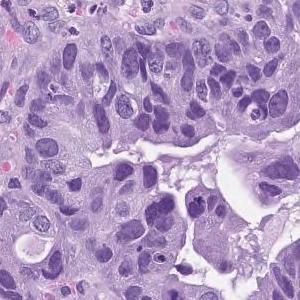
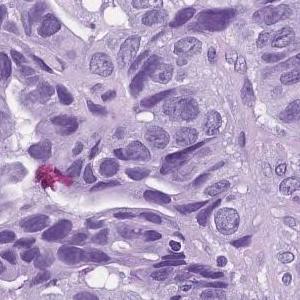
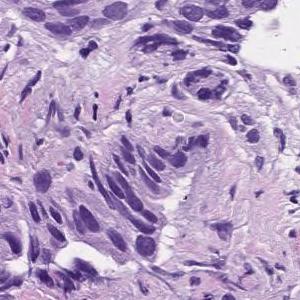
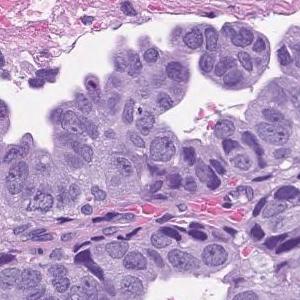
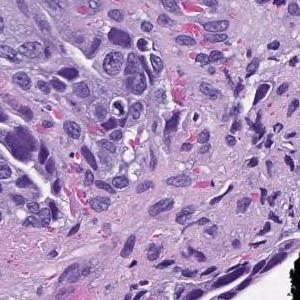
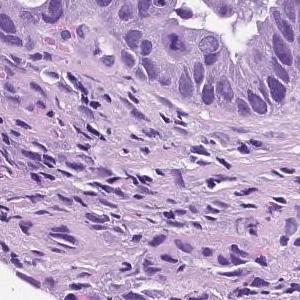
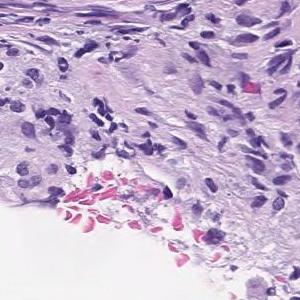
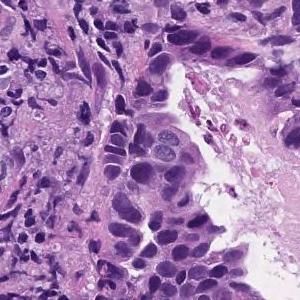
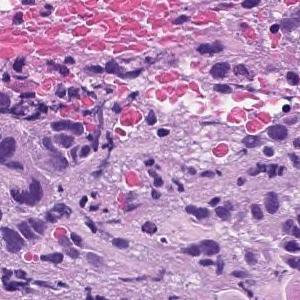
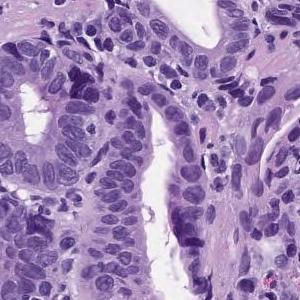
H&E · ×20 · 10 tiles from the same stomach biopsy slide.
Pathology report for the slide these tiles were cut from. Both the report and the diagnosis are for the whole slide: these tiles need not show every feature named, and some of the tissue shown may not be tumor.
In the superficial epithelium, tumor tissue that invades by forming medium-sized to small, irregular ducts is observed. moderately differentiated tubular adenocarcinoma.
